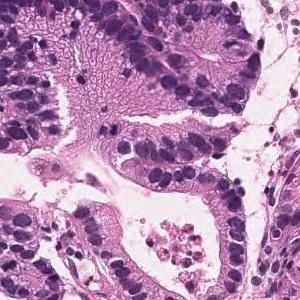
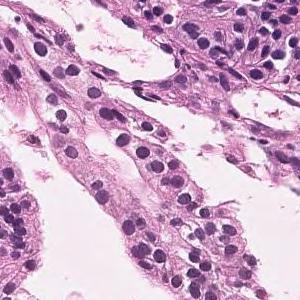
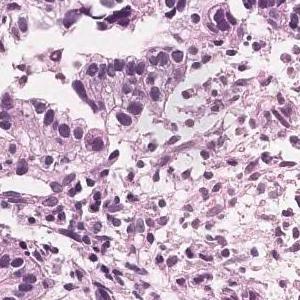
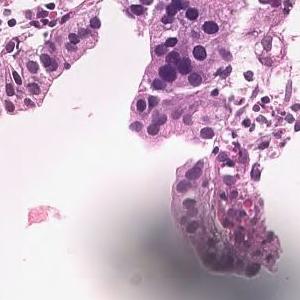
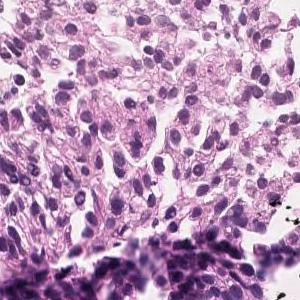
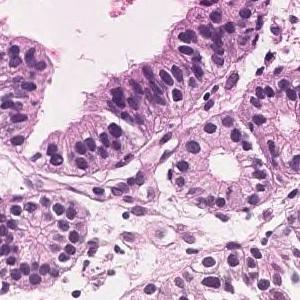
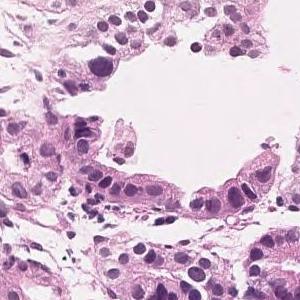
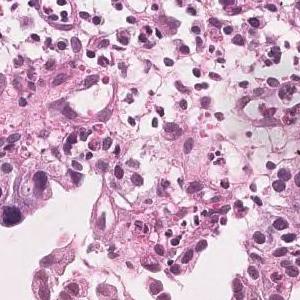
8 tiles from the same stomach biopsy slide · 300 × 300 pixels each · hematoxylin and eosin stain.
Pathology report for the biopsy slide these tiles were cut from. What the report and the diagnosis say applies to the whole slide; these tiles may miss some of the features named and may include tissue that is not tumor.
In the superficial epithelium, tumor tissue that invades by forming medium-sized to small, irregular ducts is observed. moderately differentiated tubular adenocarcinoma.
